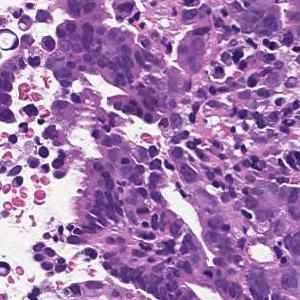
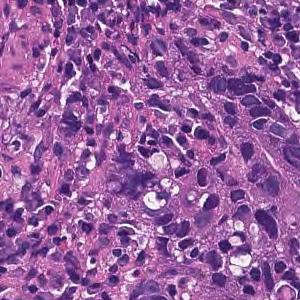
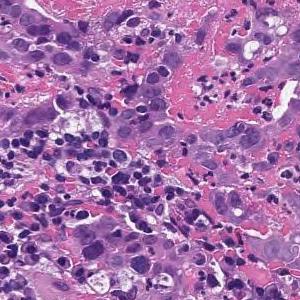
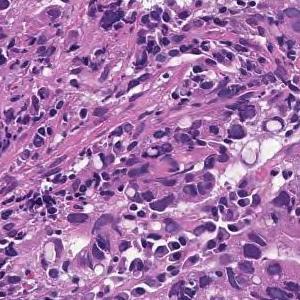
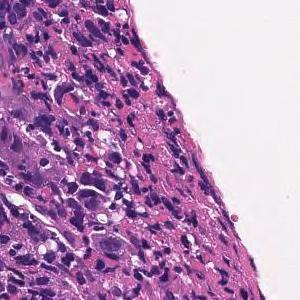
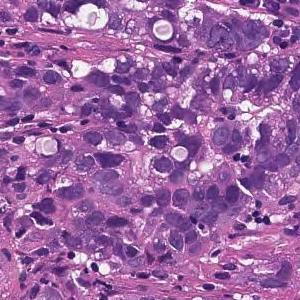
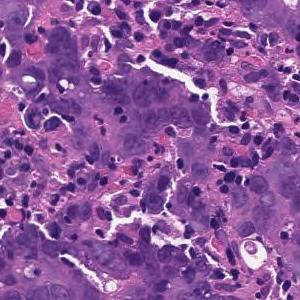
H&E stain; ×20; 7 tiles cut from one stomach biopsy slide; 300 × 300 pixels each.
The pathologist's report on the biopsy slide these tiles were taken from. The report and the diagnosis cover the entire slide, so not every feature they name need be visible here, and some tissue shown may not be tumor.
Tumor tissue consisting of cord-like or small, irregular glandular ducts fused and infiltrated is observed in the superficial epithelium. Poorly differentiated adenocarcinoma, non-solid type
The term "non-solid type" comes from the Japanese Classification of Gastric Carcinoma.
